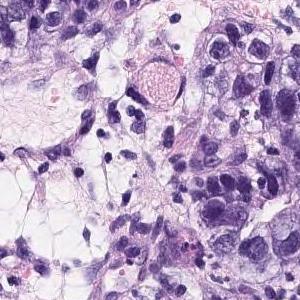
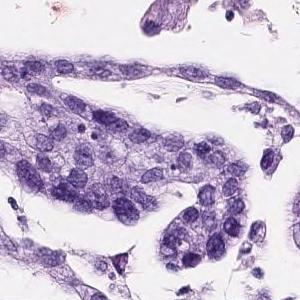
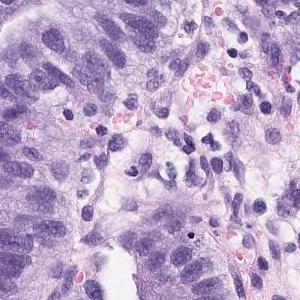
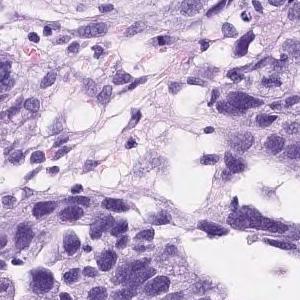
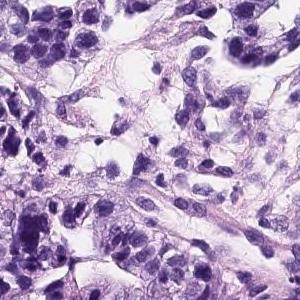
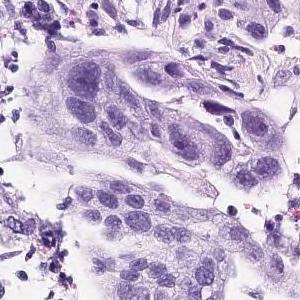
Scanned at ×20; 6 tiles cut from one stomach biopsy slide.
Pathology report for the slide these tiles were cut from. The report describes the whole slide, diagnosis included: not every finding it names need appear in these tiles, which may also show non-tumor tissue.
On the superficial epithelium, tumor tissue consisting of medium to small irregular tubules partially fused and proliferated is observed. moderately differentiated tubular adenocarcinoma
